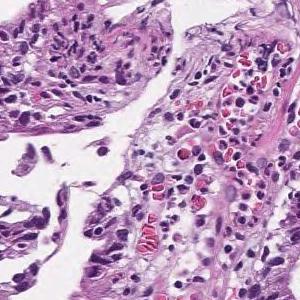
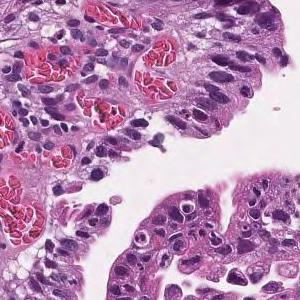
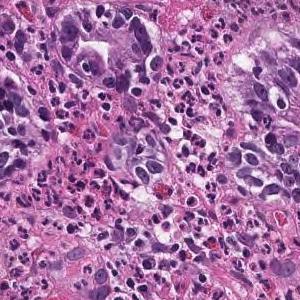
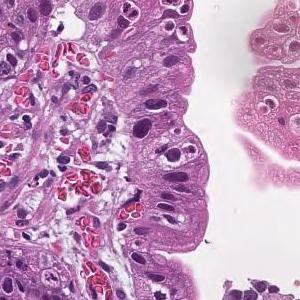
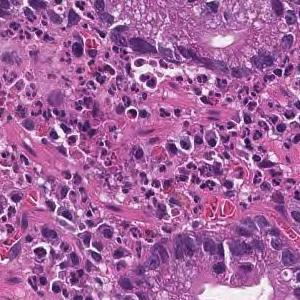
5 tiles from the same stomach biopsy slide · each 300 × 300 pixels · H&E stain.
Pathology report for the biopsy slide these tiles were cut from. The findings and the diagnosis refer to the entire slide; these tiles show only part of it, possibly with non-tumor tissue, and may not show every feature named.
Tumor cells are large, highly columnar, large club-shaped nuclei, and are associated with chromatin aggregation. Papillary adenocarcinoma.
